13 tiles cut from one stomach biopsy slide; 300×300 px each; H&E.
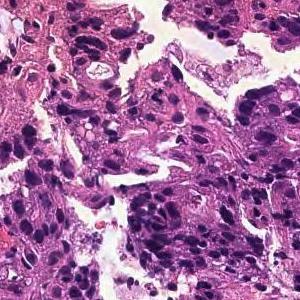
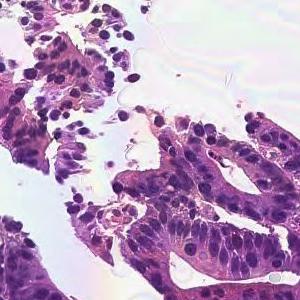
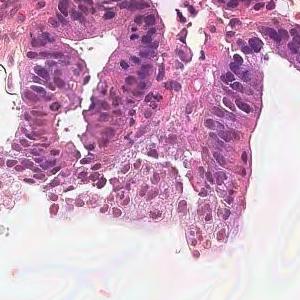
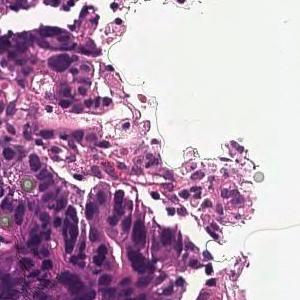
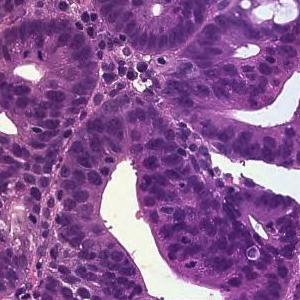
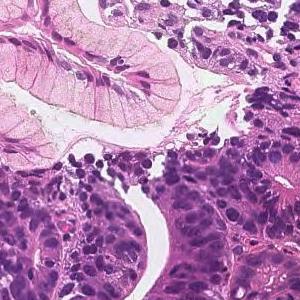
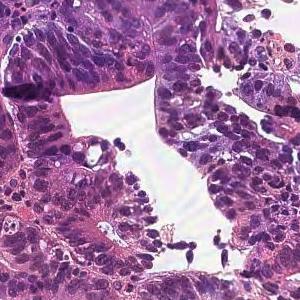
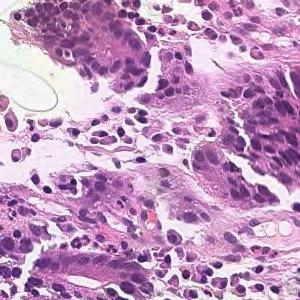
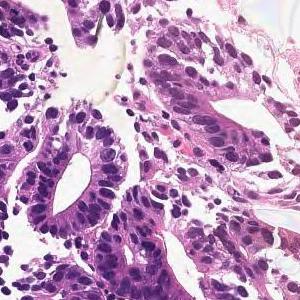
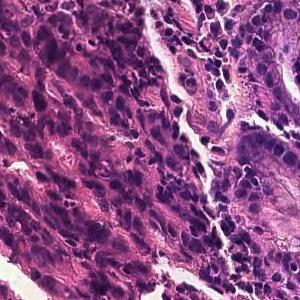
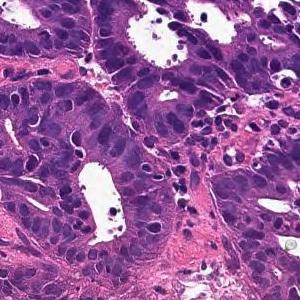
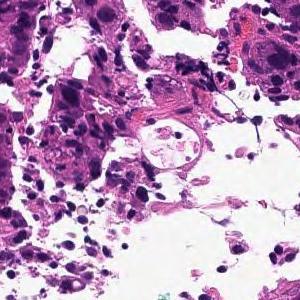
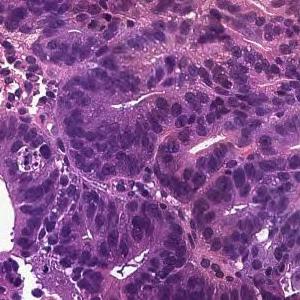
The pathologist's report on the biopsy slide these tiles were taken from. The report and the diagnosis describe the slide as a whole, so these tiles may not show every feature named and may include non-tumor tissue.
On the superficial epithelium, tumor tissue consisting of large irregular glandular ducts partially fused and infiltrated is observed. Well to moderately differentiated tubular adenocarcinoma (well differentiated tubular adenocarcinoma, moderately differentiated tubular adenocarcinoma)
Histologic type: Well to moderately differentiated tubular adenocarcinoma.
